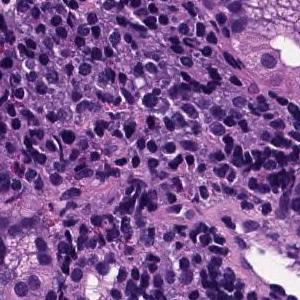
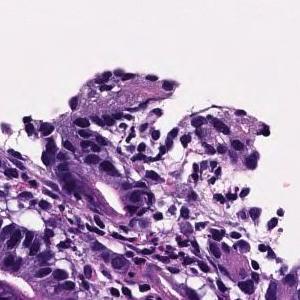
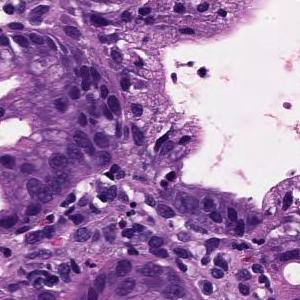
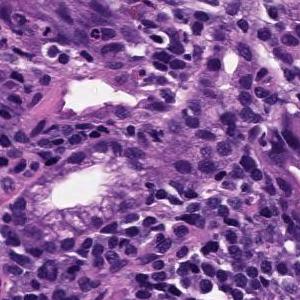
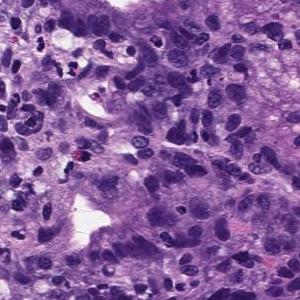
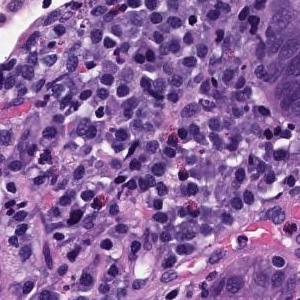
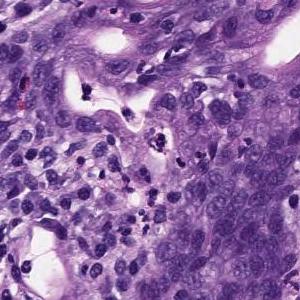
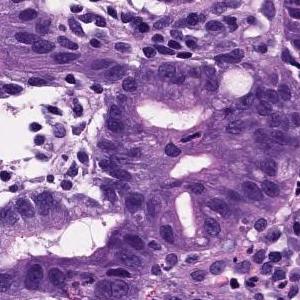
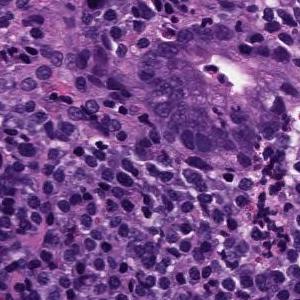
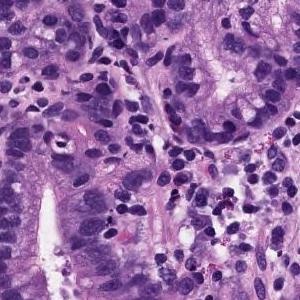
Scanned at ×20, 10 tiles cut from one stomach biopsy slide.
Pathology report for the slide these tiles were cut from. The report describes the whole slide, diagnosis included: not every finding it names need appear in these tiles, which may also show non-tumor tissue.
Medium to small, irregular glandular ducts are formed in the superficial epithelium, and in some cases, the glandular ducts are fused to show solid alveolar lesions and infiltrating tumor tissue is observed. Moderately to poorly differentiated adenocarcinoma.
